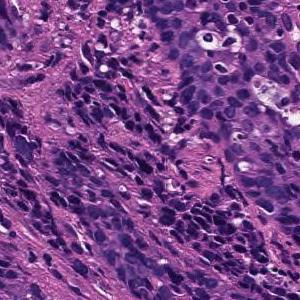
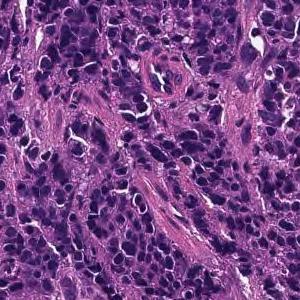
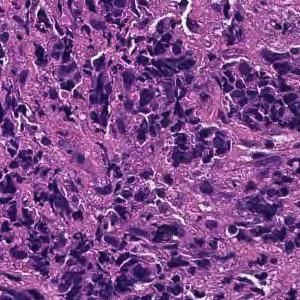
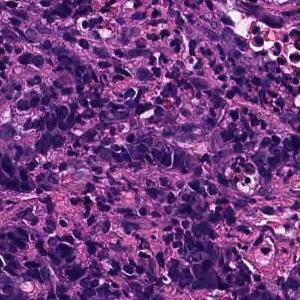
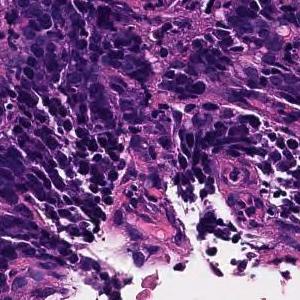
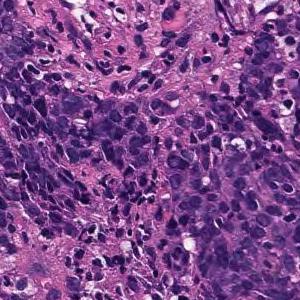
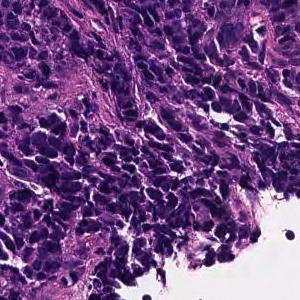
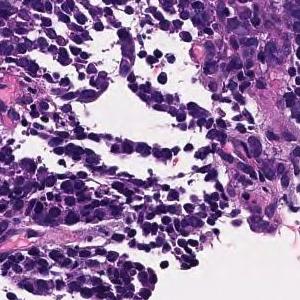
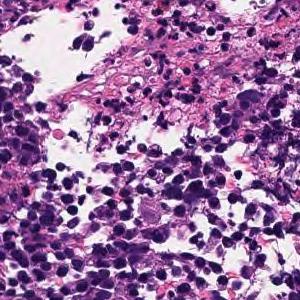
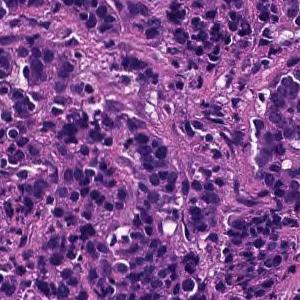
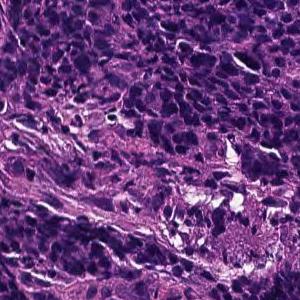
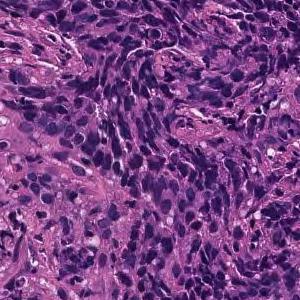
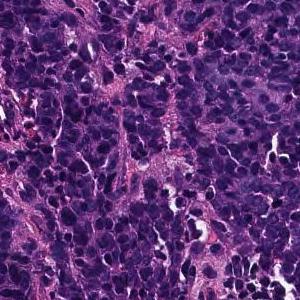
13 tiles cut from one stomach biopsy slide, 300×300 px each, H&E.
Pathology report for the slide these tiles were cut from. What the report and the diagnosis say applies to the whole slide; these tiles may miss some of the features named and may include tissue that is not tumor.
Tumor tissue consisting of cord-like or small, irregular glandular ducts fused and infiltrated is observed in the superficial epithelium. Poorly differentiated adenocarcinoma, non-solid type
The term "non-solid type" comes from the Japanese Classification of Gastric Carcinoma.
